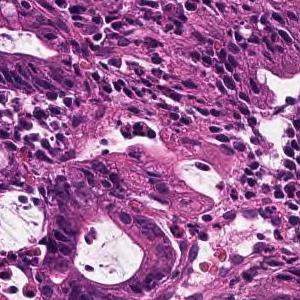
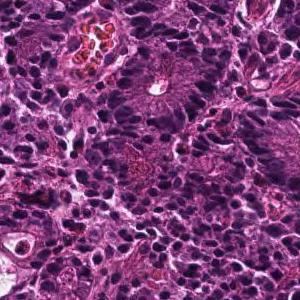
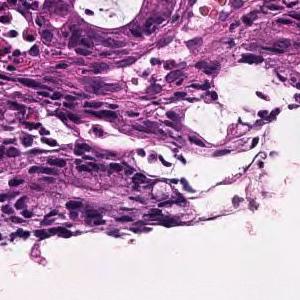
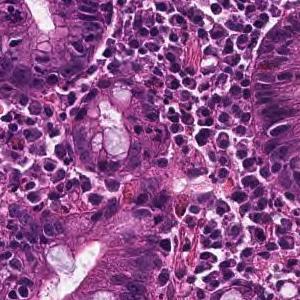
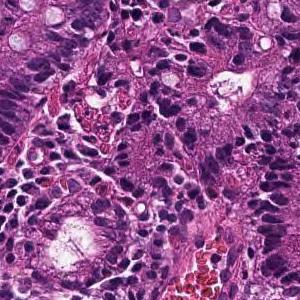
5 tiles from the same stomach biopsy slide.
Pathology report for the slide these tiles were cut from. Both the report and the diagnosis are for the whole slide: these tiles need not show every feature named, and some of the tissue shown may not be tumor.
In the superficial epithelium, tumor tissue that invades by forming medium-sized to small, irregular ducts is observed. moderately differentiated tubular adenocarcinoma.
